15 image tiles from a single gastric biopsy slide.
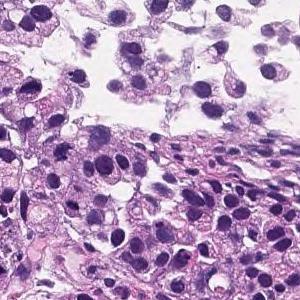
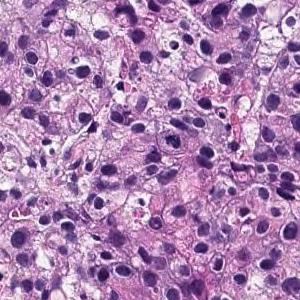
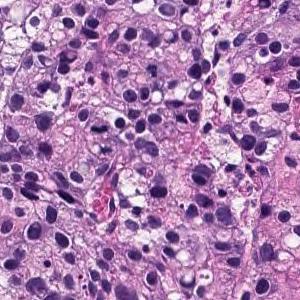
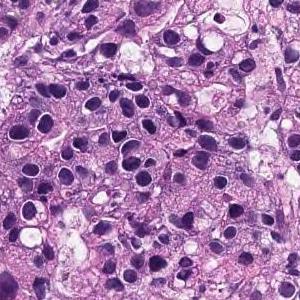
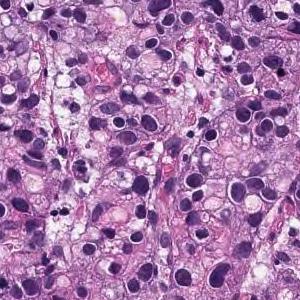
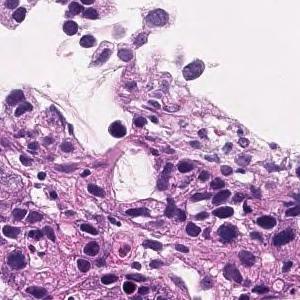
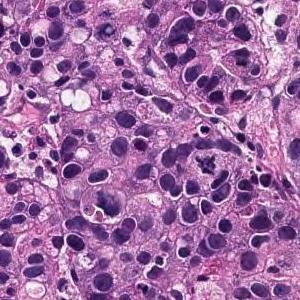
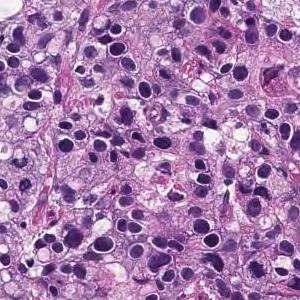
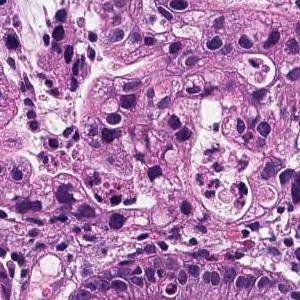
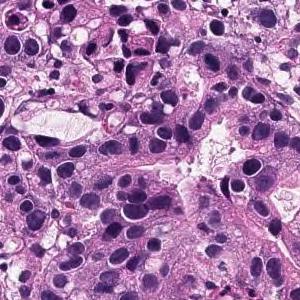
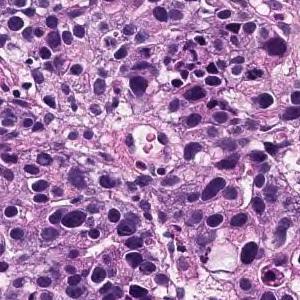
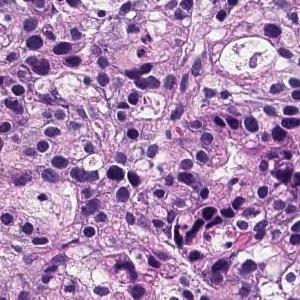
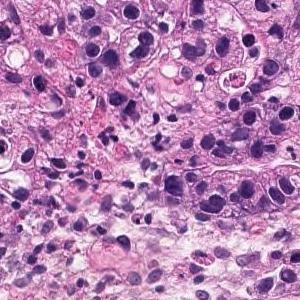
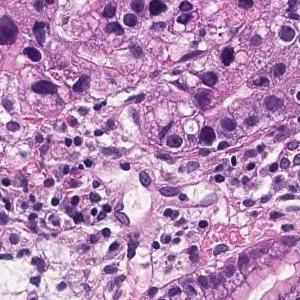
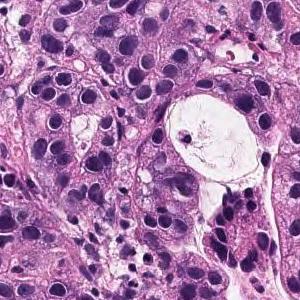
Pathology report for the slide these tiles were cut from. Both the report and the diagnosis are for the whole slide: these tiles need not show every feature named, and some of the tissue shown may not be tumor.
In the superficial epithelium, tumor tissue that invades by forming medium-sized to small, irregular ducts is observed. moderately differentiated tubular adenocarcinoma.
